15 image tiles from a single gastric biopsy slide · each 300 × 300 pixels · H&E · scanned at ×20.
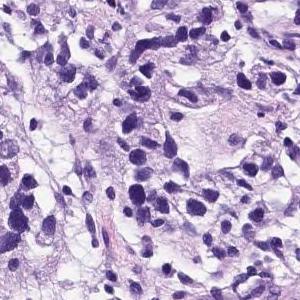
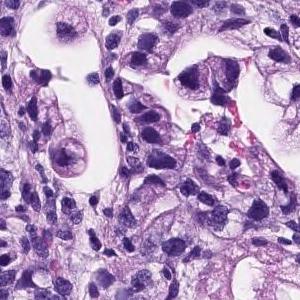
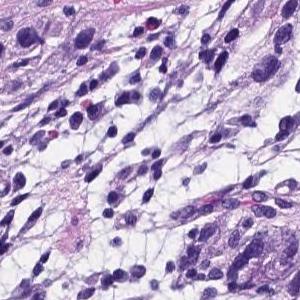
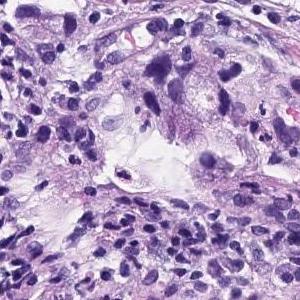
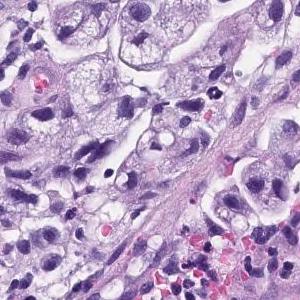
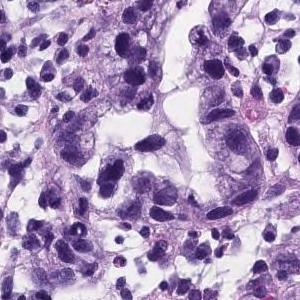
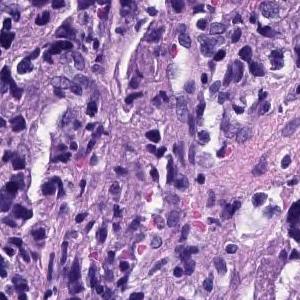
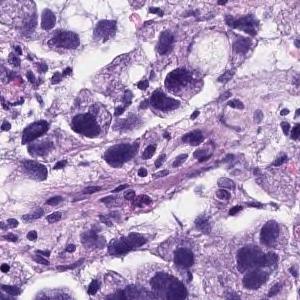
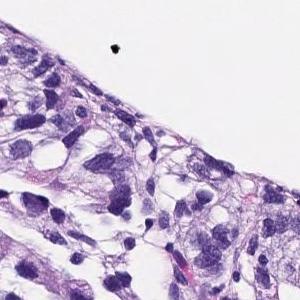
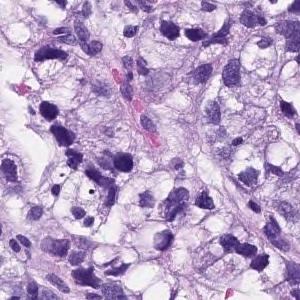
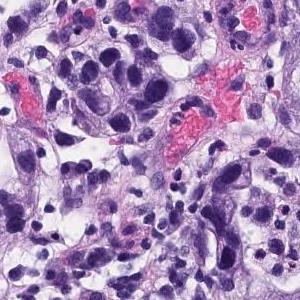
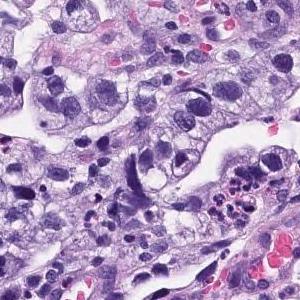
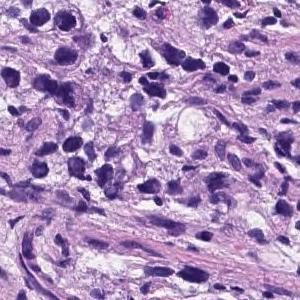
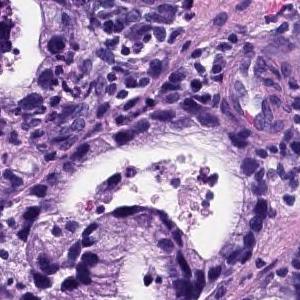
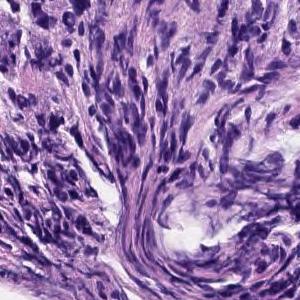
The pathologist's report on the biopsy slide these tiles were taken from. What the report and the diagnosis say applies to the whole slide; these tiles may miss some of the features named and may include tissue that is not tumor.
Medium to small, irregular glandular ducts are formed in the superficial epithelium, and in some cases, the glandular ducts are fused to show solid alveolar lesions and infiltrating tumor tissue is observed. Poorly differentiated adenocarcinoma, Moderately differentiated adenocarcinoma.
Dataset label: moderately differentiated tubular adenocarcinoma.
